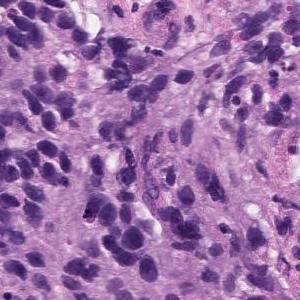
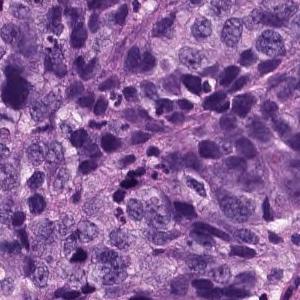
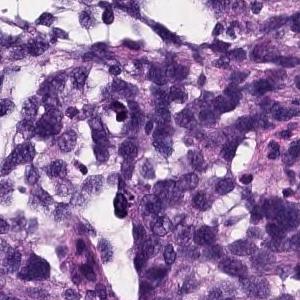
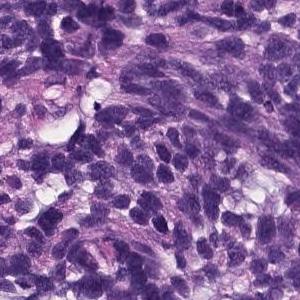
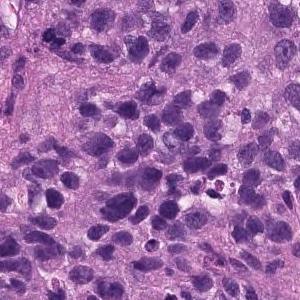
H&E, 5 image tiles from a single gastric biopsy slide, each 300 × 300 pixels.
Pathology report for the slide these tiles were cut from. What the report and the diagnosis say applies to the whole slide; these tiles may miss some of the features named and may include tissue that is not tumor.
Atypical l cells with atypical nuclei under the mucosa growing in isolation and scattered. Poorly differentiated adenocarcinoma (poorly differentiated adenocarcinoma, non-solid type)
Tumor subtype: poorly differentiated adenocarcinoma, non-solid type.
The term "non-solid type" comes from the Japanese Classification of Gastric Carcinoma.
